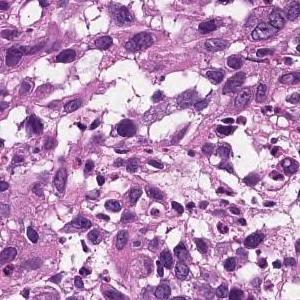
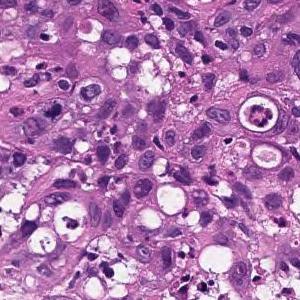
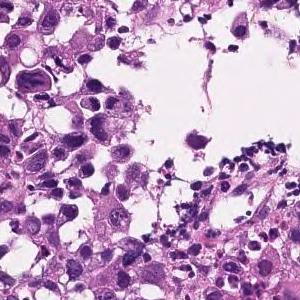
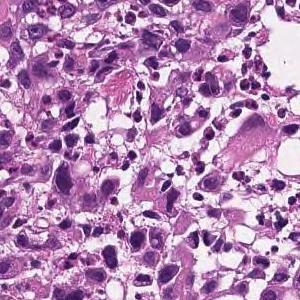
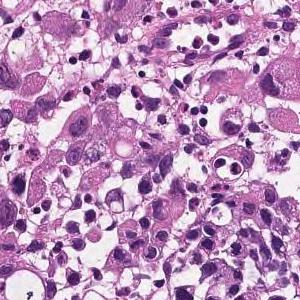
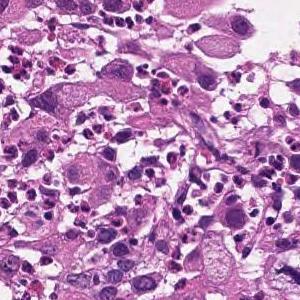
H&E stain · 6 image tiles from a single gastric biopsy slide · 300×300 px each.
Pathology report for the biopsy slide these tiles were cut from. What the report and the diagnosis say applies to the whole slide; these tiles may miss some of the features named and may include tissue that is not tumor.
The superficial epithelium shows a large sheet-like shape, and some tumor tissue infiltrates with small irregular ducts. Poorly differentiated adenocarcinoma, solid-type
Classified as poorly differentiated adenocarcinoma, solid type (Japanese Classification of Gastric Carcinoma). The WHO 2019 equivalent is tubular adenocarcinoma, poorly differentiated.
